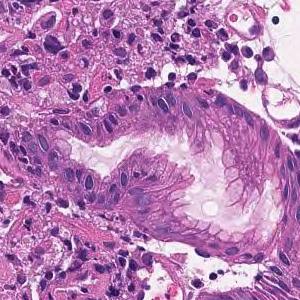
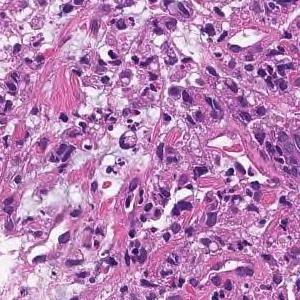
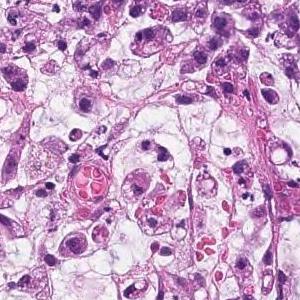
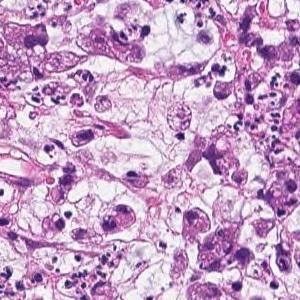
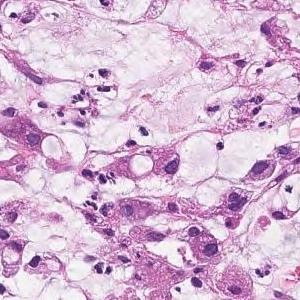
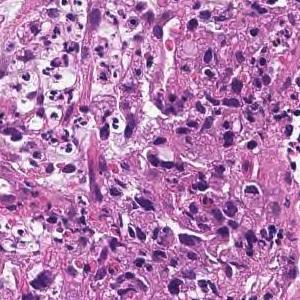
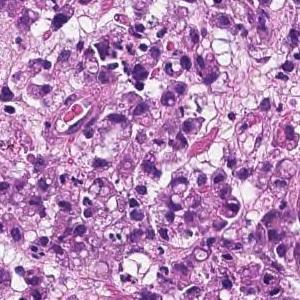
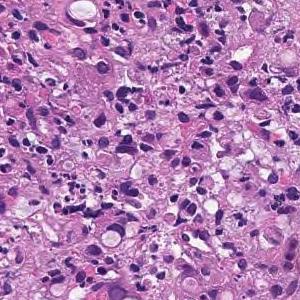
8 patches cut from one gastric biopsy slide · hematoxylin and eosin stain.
Pathology report for the biopsy slide these tiles were cut from. The report and the diagnosis cover the entire slide, so not every feature they name need be visible here, and some tissue shown may not be tumor.
Tumor tissue consisting of cord-like or small, irregular glandular ducts fused and infiltrated is observed in the superficial epithelium. Poorly differentiated adenocarcinoma, non-solid type
The non-solid type named here is a Japanese Classification of Gastric Carcinoma category.
